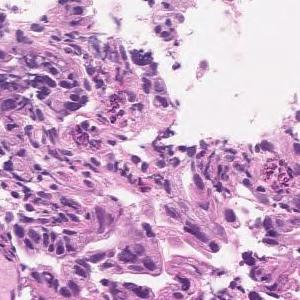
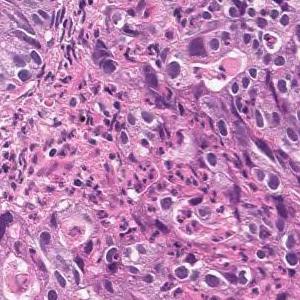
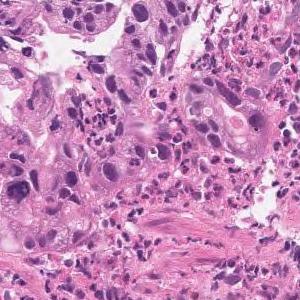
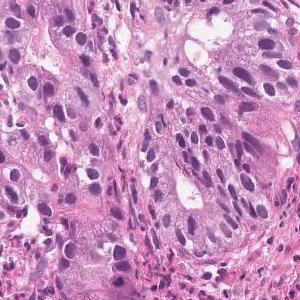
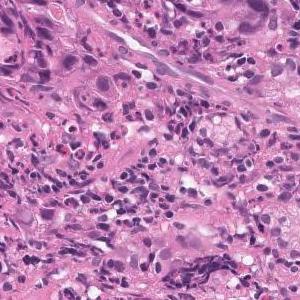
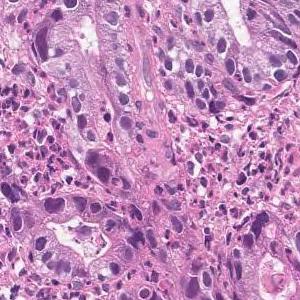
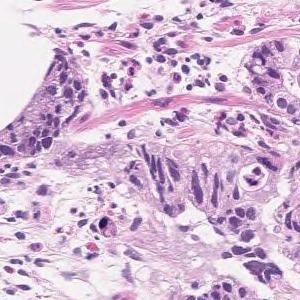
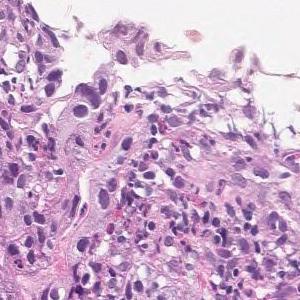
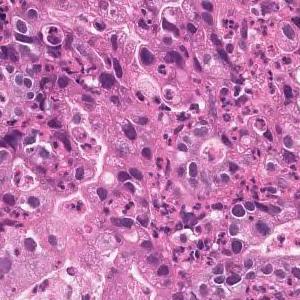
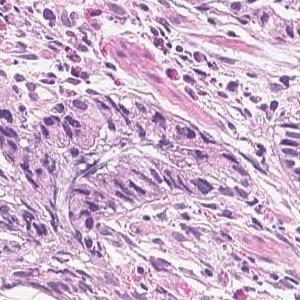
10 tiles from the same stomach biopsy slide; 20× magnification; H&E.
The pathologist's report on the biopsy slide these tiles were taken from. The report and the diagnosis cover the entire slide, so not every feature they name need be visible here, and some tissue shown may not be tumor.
In the superficial epithelium, tumor tissue that invades by forming medium-sized to small, irregular ducts is observed. Moderately differentiated adenocarcinoma.
Classified as moderately differentiated tubular adenocarcinoma.
